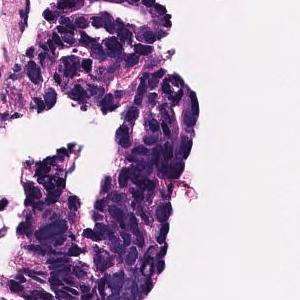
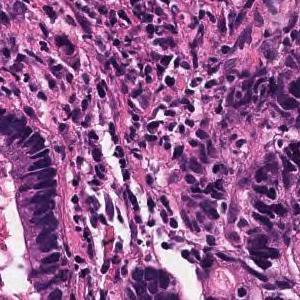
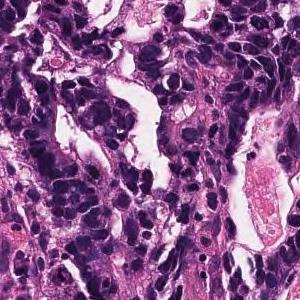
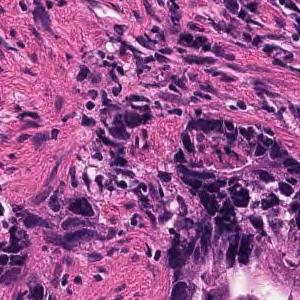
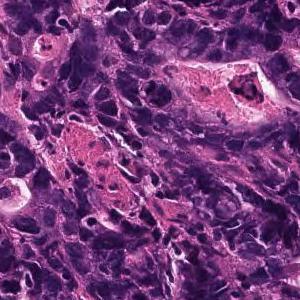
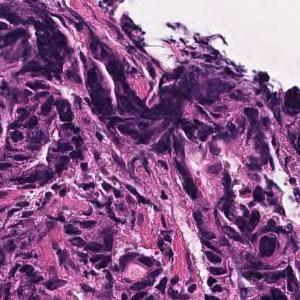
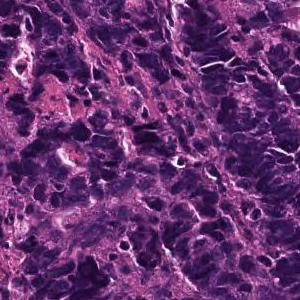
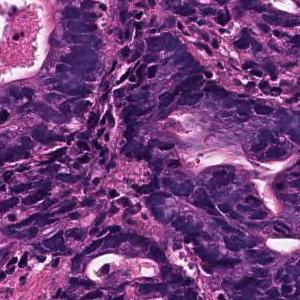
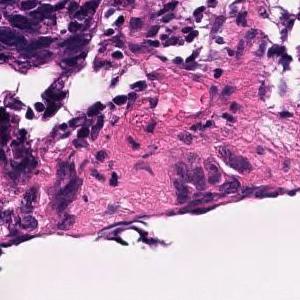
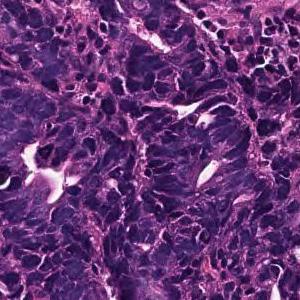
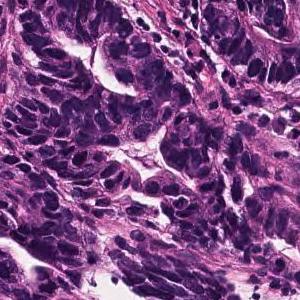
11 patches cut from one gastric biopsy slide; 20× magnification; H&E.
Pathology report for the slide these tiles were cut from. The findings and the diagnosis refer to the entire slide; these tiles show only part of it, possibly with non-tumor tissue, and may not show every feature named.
Large and small irregular small glandular ducts forming and infiltrating. moderately differentiated tubular adenocarcinoma
